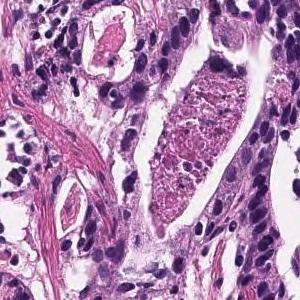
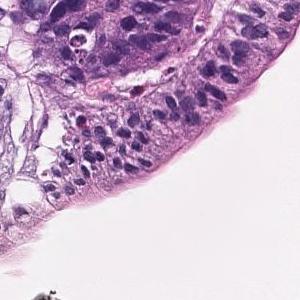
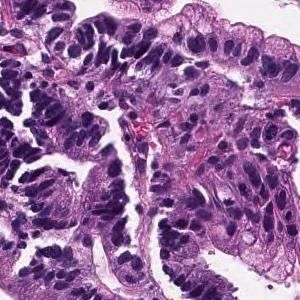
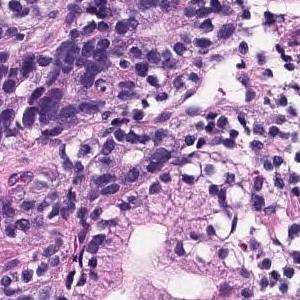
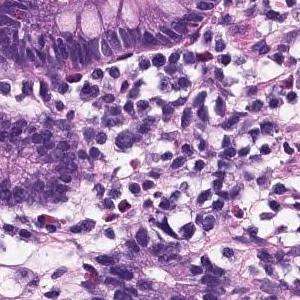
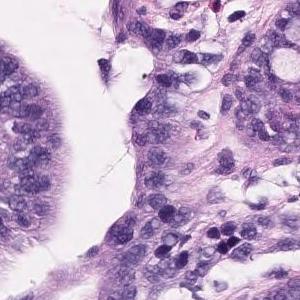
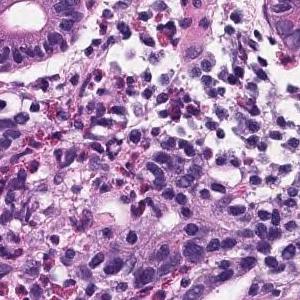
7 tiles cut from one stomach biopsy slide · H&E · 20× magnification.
Pathology report for the slide these tiles were cut from. What the report and the diagnosis say applies to the whole slide; these tiles may miss some of the features named and may include tissue that is not tumor.
Tumor cells are large, highly columnar, large club-shaped nuclei, and are associated with chromatin aggregation. Papillary adenocarcinoma.
